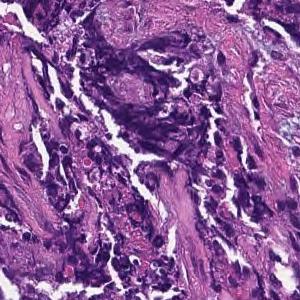
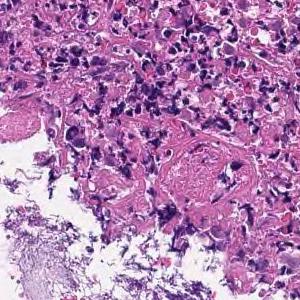
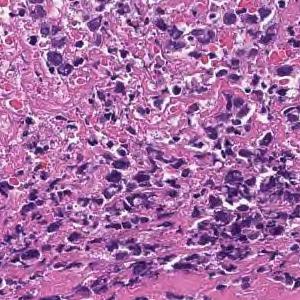
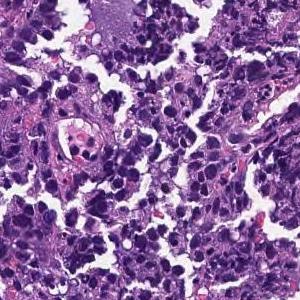
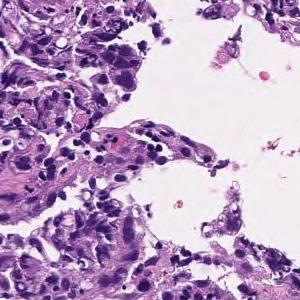
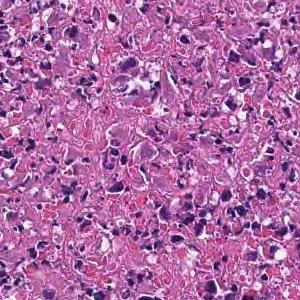
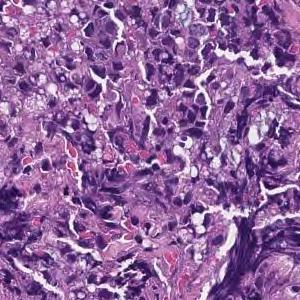
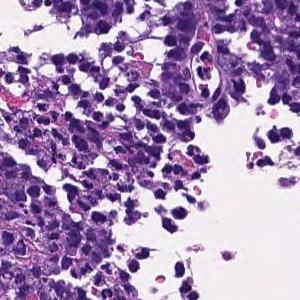
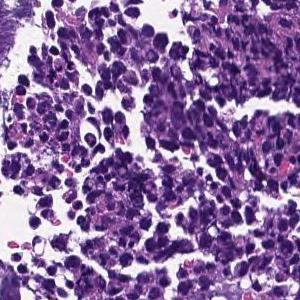
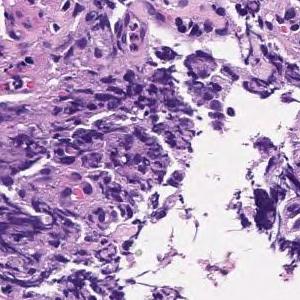
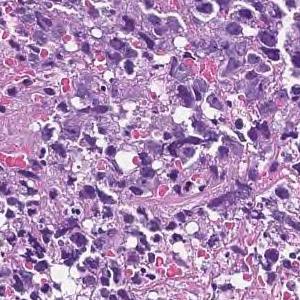
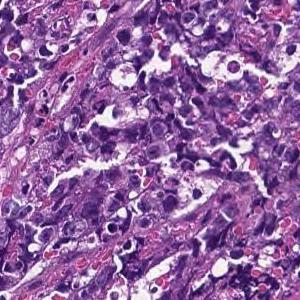
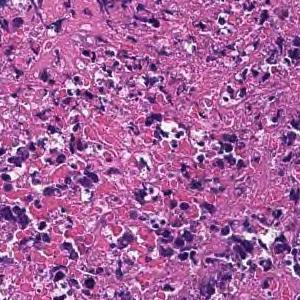
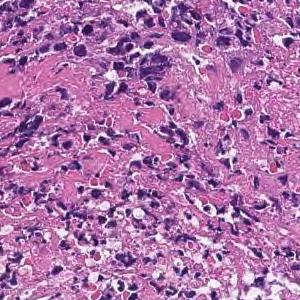
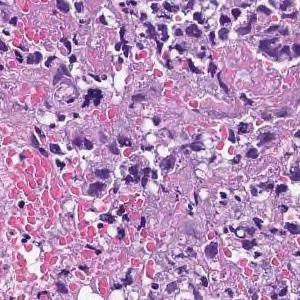
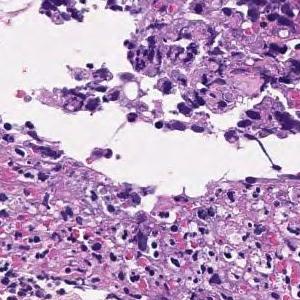
16 patches cut from one gastric biopsy slide; 20× magnification; hematoxylin and eosin stain.
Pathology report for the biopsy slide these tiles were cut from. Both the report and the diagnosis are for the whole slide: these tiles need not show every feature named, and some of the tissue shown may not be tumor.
Most are composed of coagulative necrotic tissue, but some show a large sheet-like shape, and some show tumor tissue infiltrating with a small cord-like structure. Poorly differentiated adenocarcinoma, solid-type
Classified as poorly differentiated adenocarcinoma, solid type (Japanese Classification of Gastric Carcinoma). The WHO 2019 equivalent is tubular adenocarcinoma, poorly differentiated.
